20× magnification, 9 tiles cut from one stomach biopsy slide.
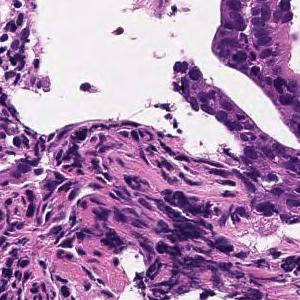
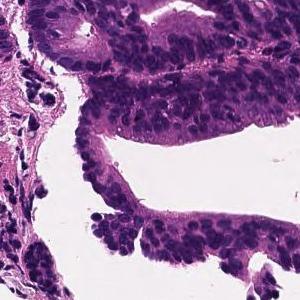
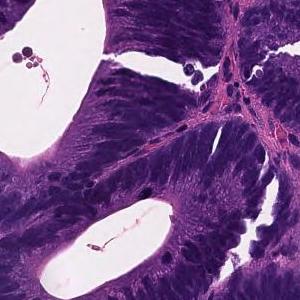
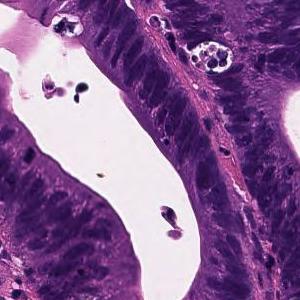
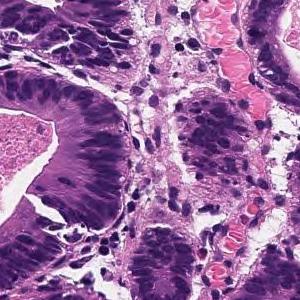
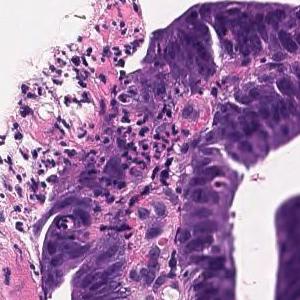
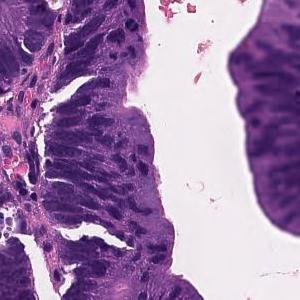
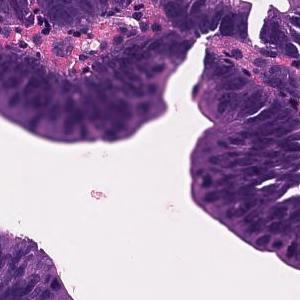
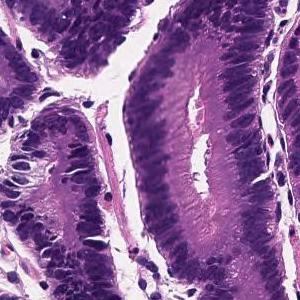
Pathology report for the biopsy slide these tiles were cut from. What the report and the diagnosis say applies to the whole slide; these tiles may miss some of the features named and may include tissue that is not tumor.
Tumor tissue consisting of large papillary structures is found in the superficial epithelium. Papillary adenocarcinoma.
